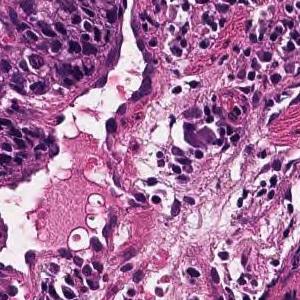
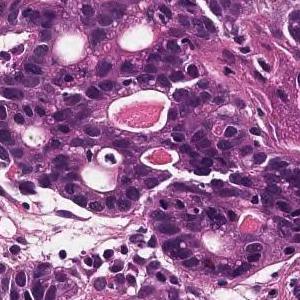
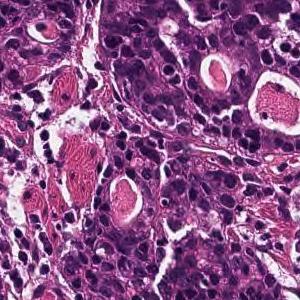
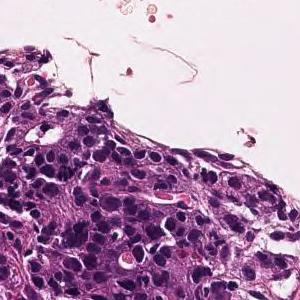
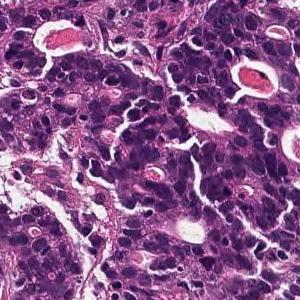
5 tiles cut from one stomach biopsy slide, each 300 × 300 pixels, 20× magnification, H&E.
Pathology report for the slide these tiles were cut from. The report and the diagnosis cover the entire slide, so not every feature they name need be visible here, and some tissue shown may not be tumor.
Medium to small, irregular glandular ducts are formed in the superficial epithelium, and in some cases, the glandular ducts are fused to show solid alveolar lesions and infiltrating tumor tissue is observed. Moderately to poorly differentiated adenocarcinoma.
